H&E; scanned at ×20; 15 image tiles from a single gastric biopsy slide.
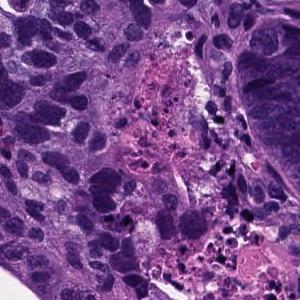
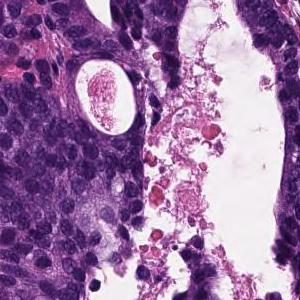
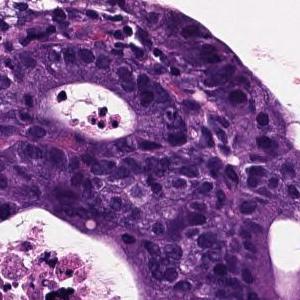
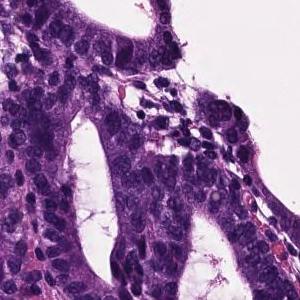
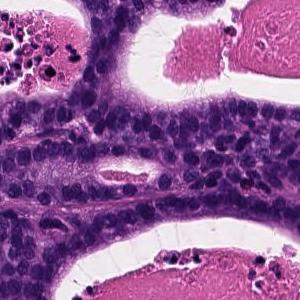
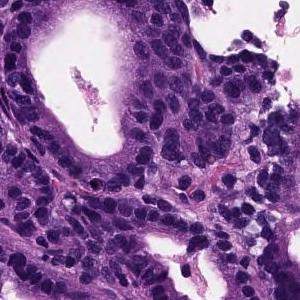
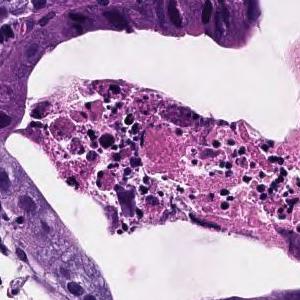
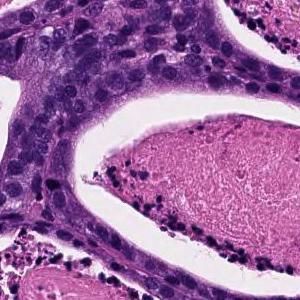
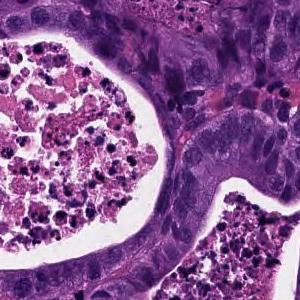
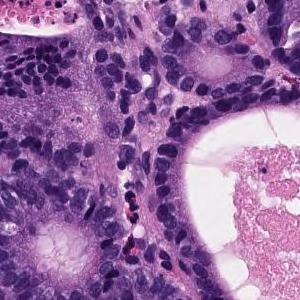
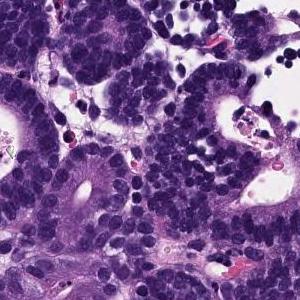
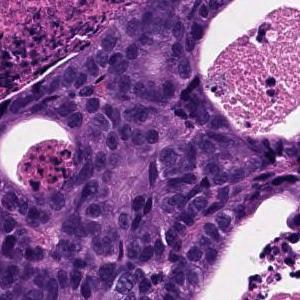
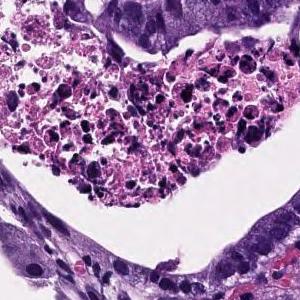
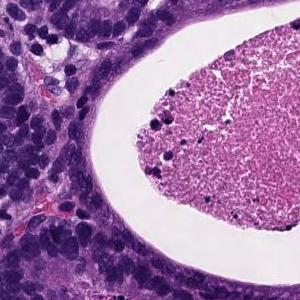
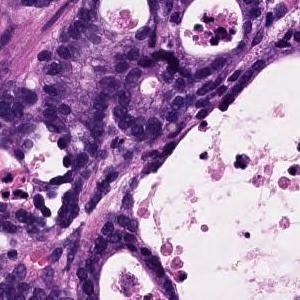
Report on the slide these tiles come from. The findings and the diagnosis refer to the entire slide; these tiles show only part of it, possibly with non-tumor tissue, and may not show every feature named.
From the superficial epithelium to the muscularis mucosae, tumor tissue consisting of medium-sized and irregular glandular ducts infiltrating is observed. Well differentiated tubular adenocarcinoma
